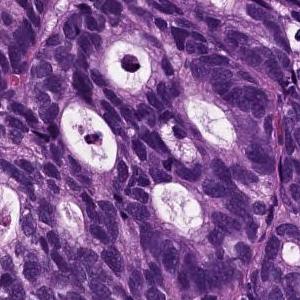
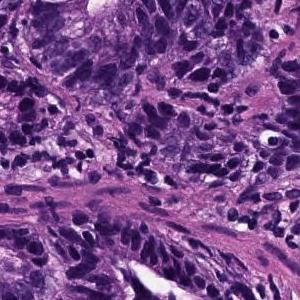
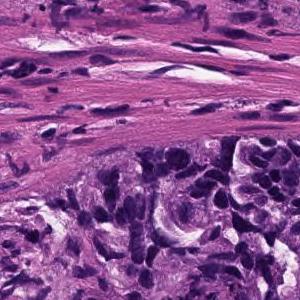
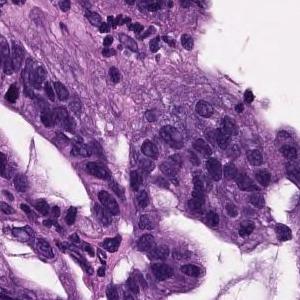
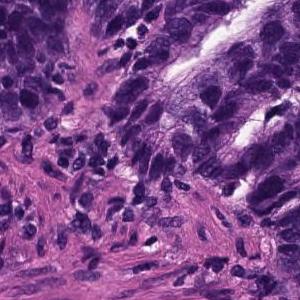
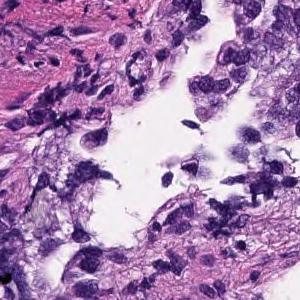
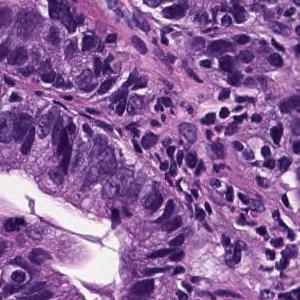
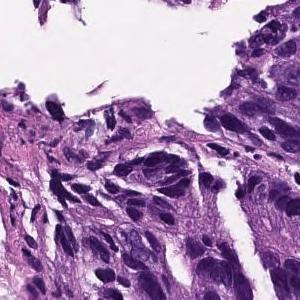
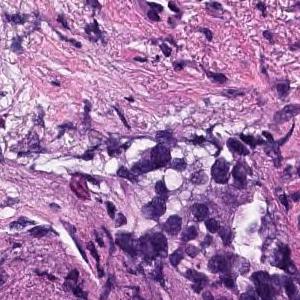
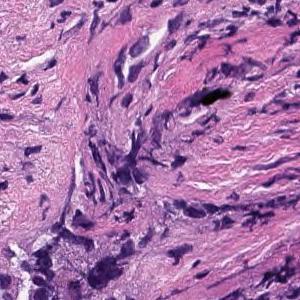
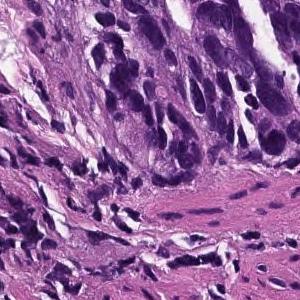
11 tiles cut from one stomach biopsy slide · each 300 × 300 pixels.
Pathology report for the biopsy slide these tiles were cut from. The findings and the diagnosis refer to the entire slide; these tiles show only part of it, possibly with non-tumor tissue, and may not show every feature named.
In the superficial epithelium, tumor tissue that invades by forming medium-sized to small, irregular ducts is observed. Moderately differentiated adenocarcinoma.
Histologic type: Moderately differentiated tubular adenocarcinoma.
